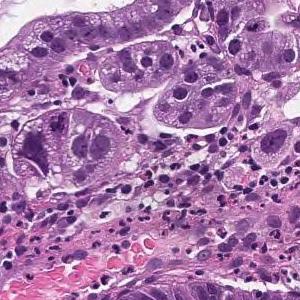
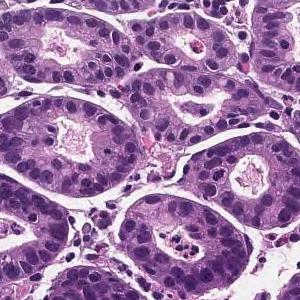
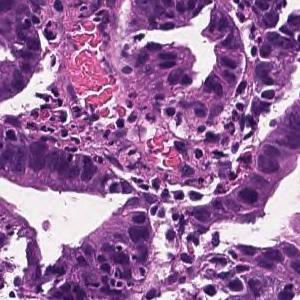
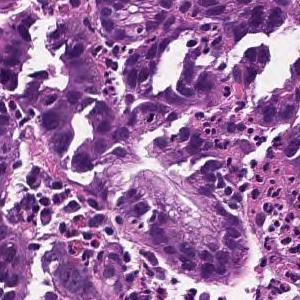
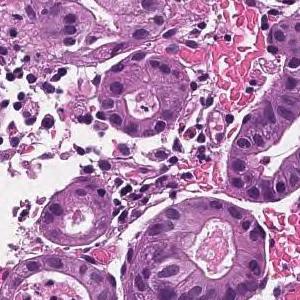
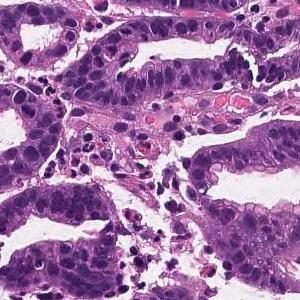
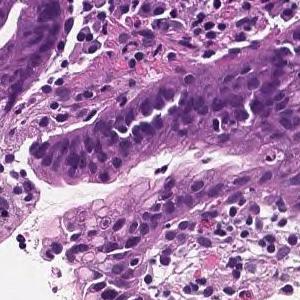
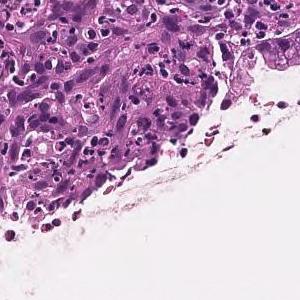
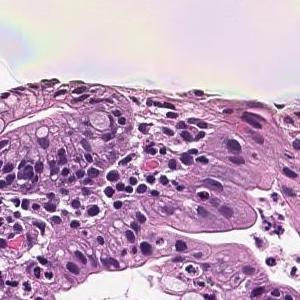
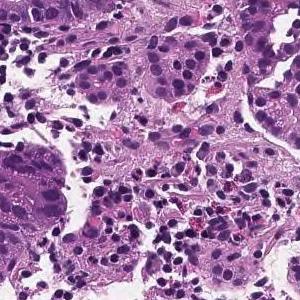
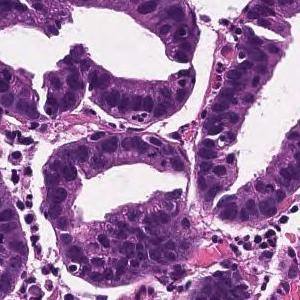
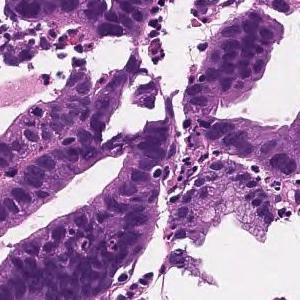
Hematoxylin and eosin stain · 12 image tiles from a single gastric biopsy slide · 300 × 300 pixels each.
Pathology report for the biopsy slide these tiles were cut from. The findings and the diagnosis refer to the entire slide; these tiles show only part of it, possibly with non-tumor tissue, and may not show every feature named.
On the superficial epithelium, tumor tissue consisting of medium-sized irregular or small round gland ducts showing a small cord-like shape and infiltrating is observed. Well differentiated tubular adenocarcinoma or Poorly differentiated adenocarcinoma, non-solid type
Labeled in the dataset as well differentiated tubular adenocarcinoma.
The term "non-solid type" comes from the Japanese Classification of Gastric Carcinoma.
